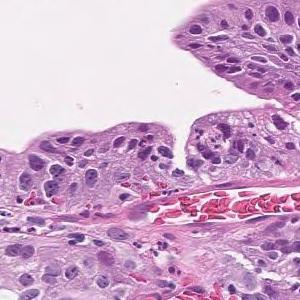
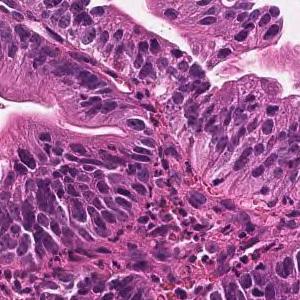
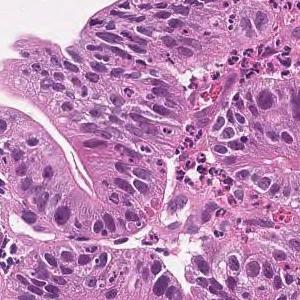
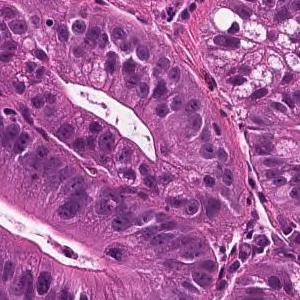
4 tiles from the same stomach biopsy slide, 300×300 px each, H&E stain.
Pathology report for the biopsy slide these tiles were cut from. What the report and the diagnosis say applies to the whole slide; these tiles may miss some of the features named and may include tissue that is not tumor.
Tumor cells are large, highly columnar, large club-shaped nuclei, and are associated with chromatin aggregation. Papillary adenocarcinoma.
